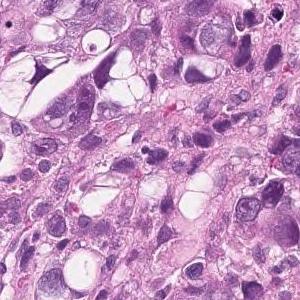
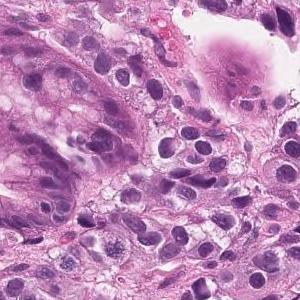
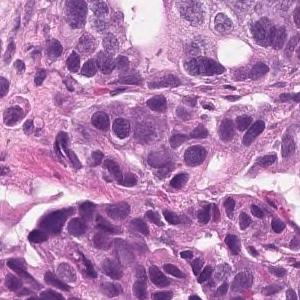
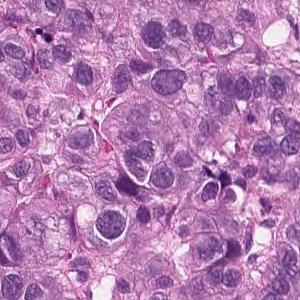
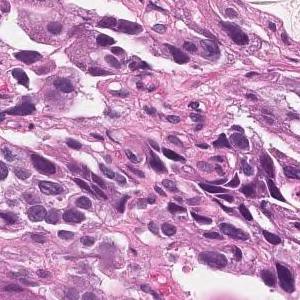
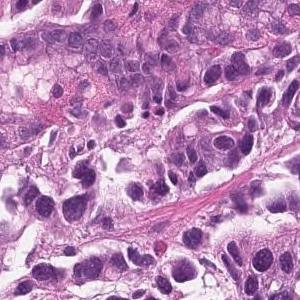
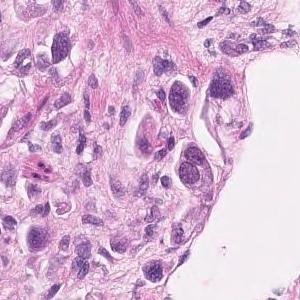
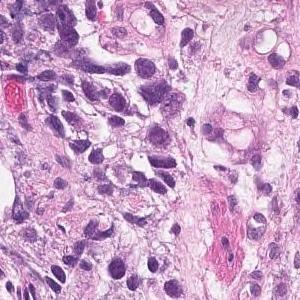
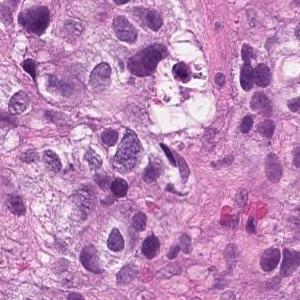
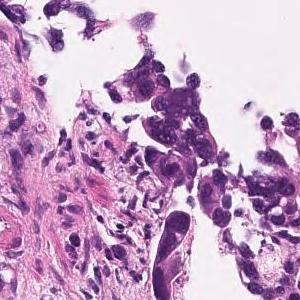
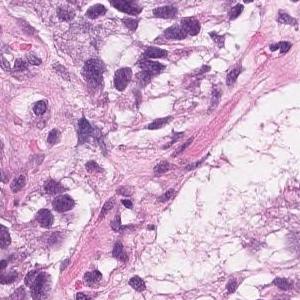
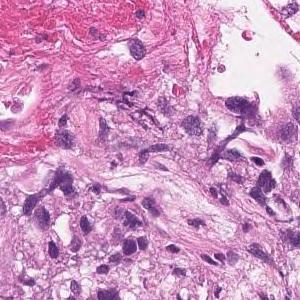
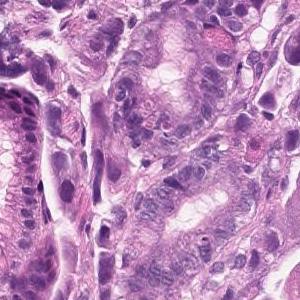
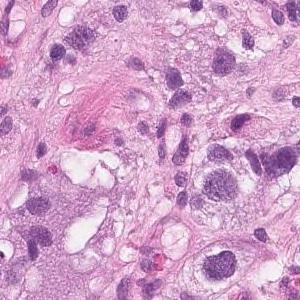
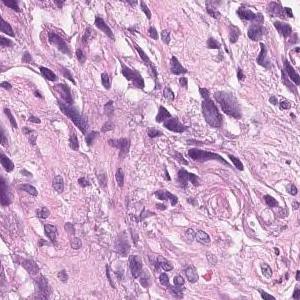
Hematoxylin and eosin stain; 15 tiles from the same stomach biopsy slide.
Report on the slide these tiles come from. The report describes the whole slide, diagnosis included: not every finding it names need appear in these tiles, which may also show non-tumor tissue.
Tumor tissue that infiltrates the epithelium in an alveolar manner. Poorly differentiated adenocarcinoma, solid-type
Classified as poorly differentiated adenocarcinoma, solid type (Japanese Classification of Gastric Carcinoma). The WHO 2019 equivalent is tubular adenocarcinoma, poorly differentiated.
